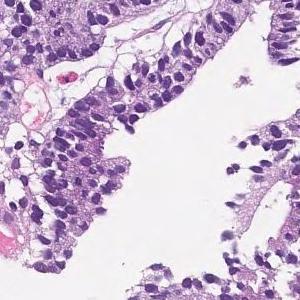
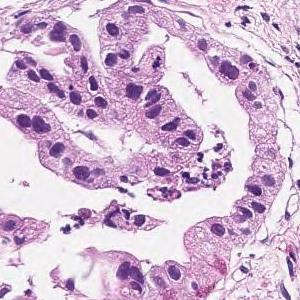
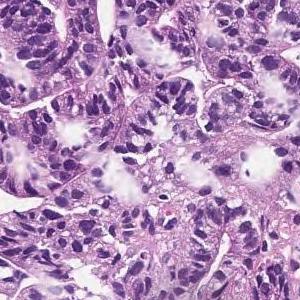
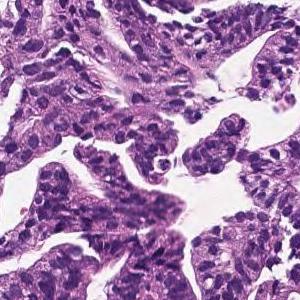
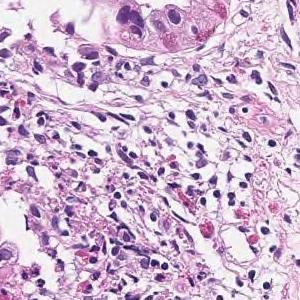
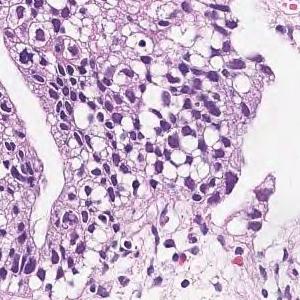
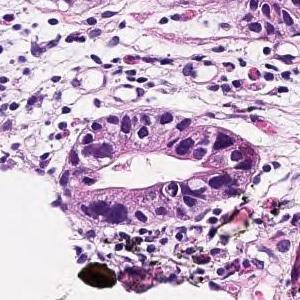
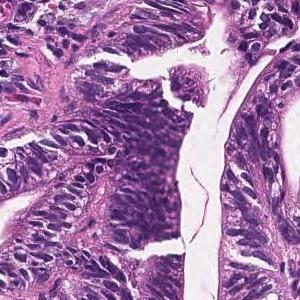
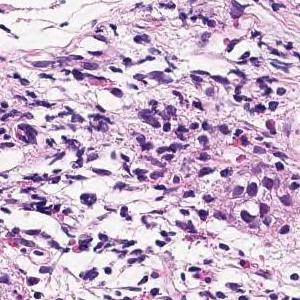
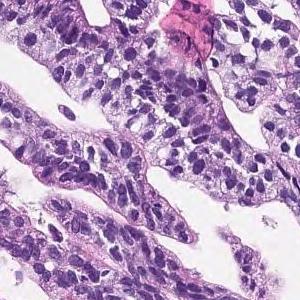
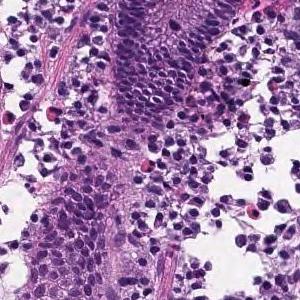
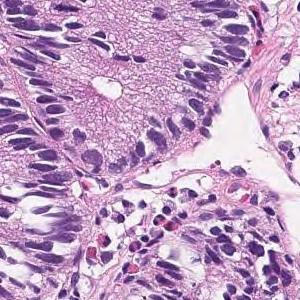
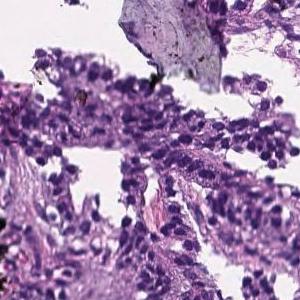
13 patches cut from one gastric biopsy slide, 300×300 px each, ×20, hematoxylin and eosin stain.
Pathology report for the slide these tiles were cut from. What the report and the diagnosis say applies to the whole slide; these tiles may miss some of the features named and may include tissue that is not tumor.
In the superficial epithelium, tumor tissue that invades by forming medium-sized to small, irregular ducts is observed. Moderately differentiated adenocarcinoma.
Classified as moderately differentiated tubular adenocarcinoma.
